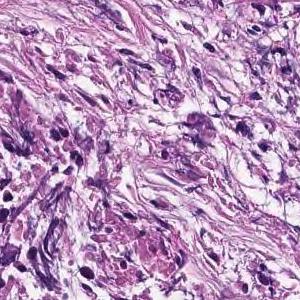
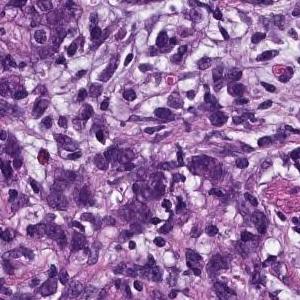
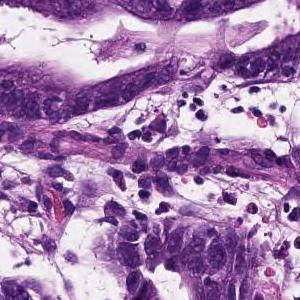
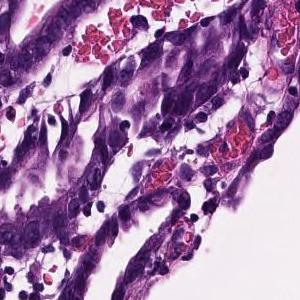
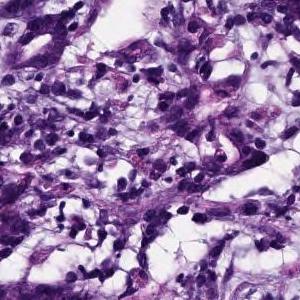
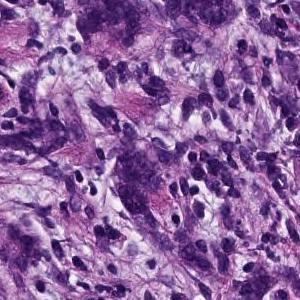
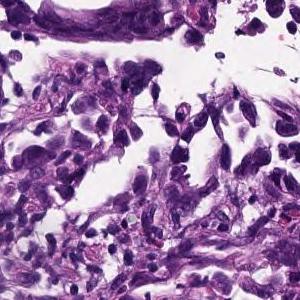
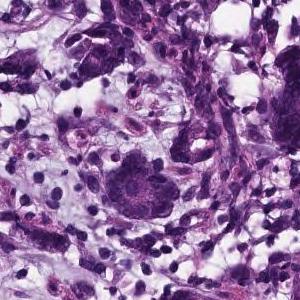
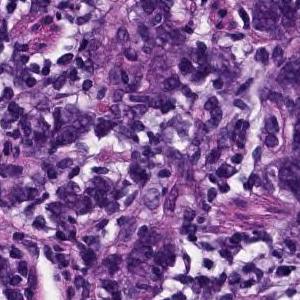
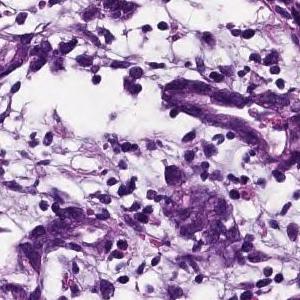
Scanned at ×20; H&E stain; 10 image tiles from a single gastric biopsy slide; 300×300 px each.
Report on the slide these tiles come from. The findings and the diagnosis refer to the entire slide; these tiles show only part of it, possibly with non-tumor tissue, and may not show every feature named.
Tumor tissue consisting of medium-sized, cord-like or irregular glandular infiltration is observed in the superficial epithelium. Poorly differentiated adenocarcinoma, non-solid type or moderately differentiated tubular adenocarcinoma
Tumor subtype: moderately to poorly differentiated adenocarcinoma.
"Non-solid type" is a category of the Japanese Classification of Gastric Carcinoma.
